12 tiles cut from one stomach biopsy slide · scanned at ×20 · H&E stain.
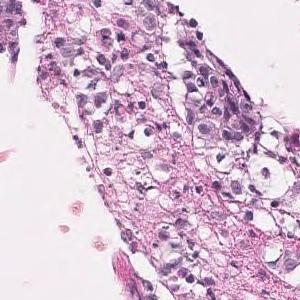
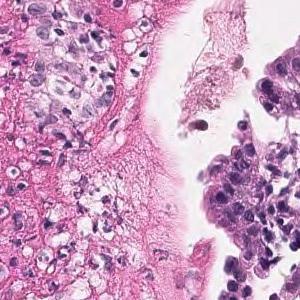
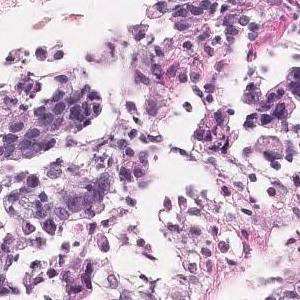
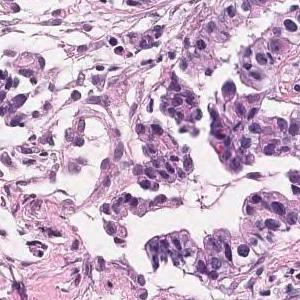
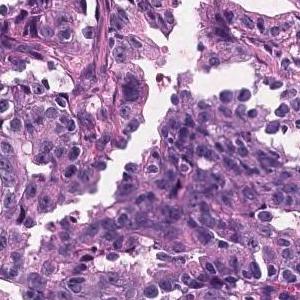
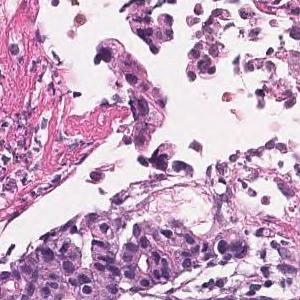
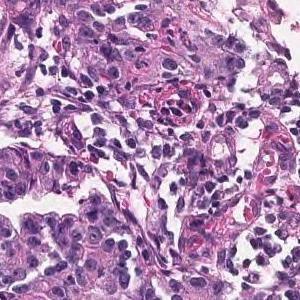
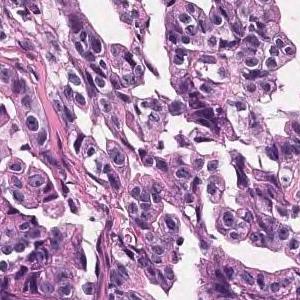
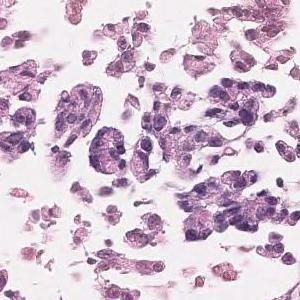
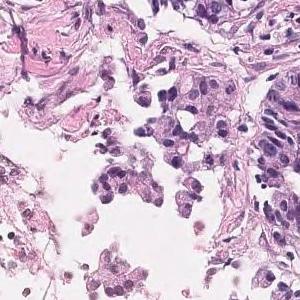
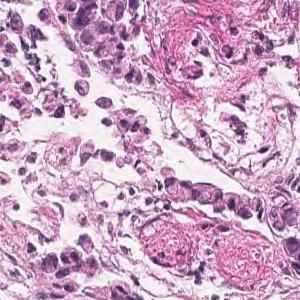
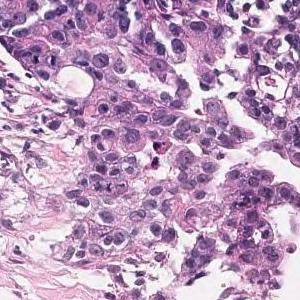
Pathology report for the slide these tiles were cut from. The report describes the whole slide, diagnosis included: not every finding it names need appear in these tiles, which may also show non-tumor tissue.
In the superficial epithelium, tumor tissue that invades by forming medium-sized to small, irregular ducts is observed. moderately differentiated tubular adenocarcinoma.
